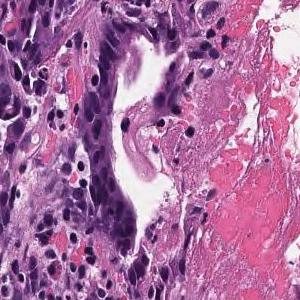
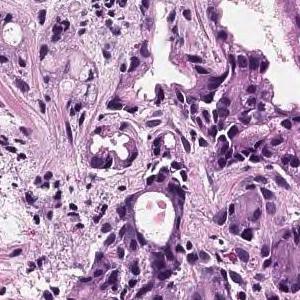
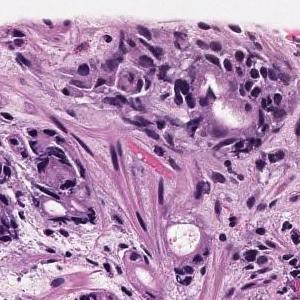
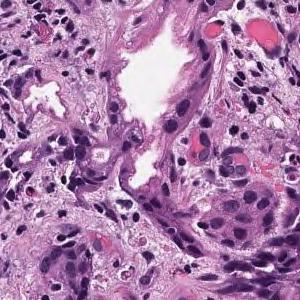
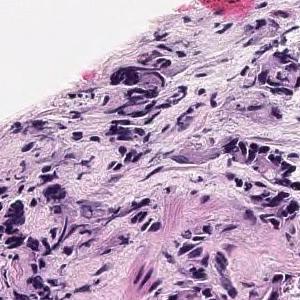
×20; 5 patches cut from one gastric biopsy slide; each 300 × 300 pixels.
Report on the slide these tiles come from. Both the report and the diagnosis are for the whole slide: these tiles need not show every feature named, and some of the tissue shown may not be tumor.
On the superficial epithelium, tumor tissue is found in which medium-sized irregular gland ducts fuse with each other and infiltrate. moderately differentiated tubular adenocarcinoma
